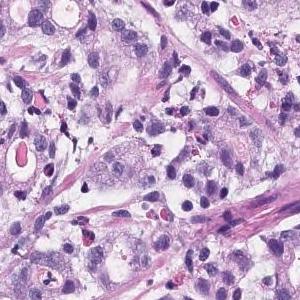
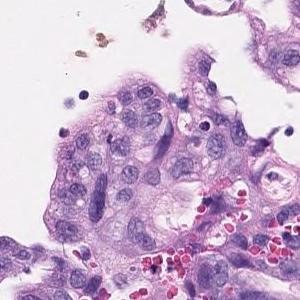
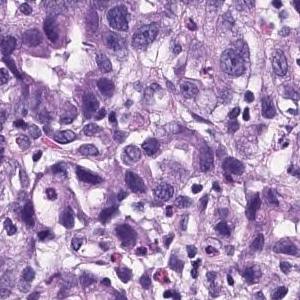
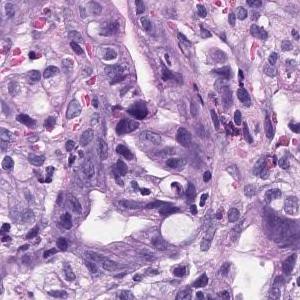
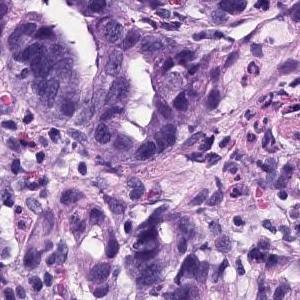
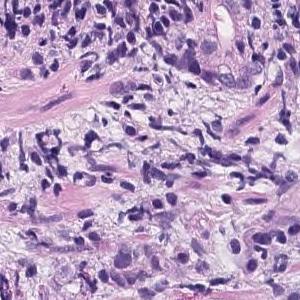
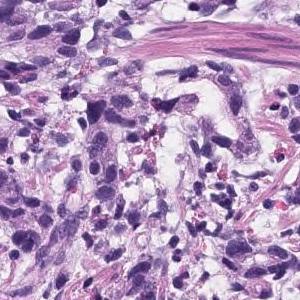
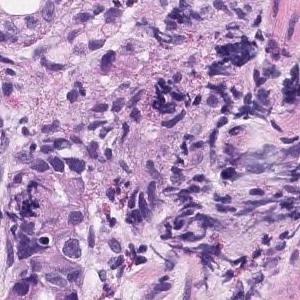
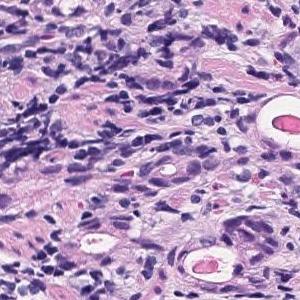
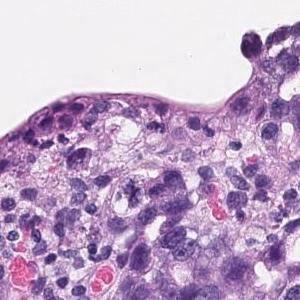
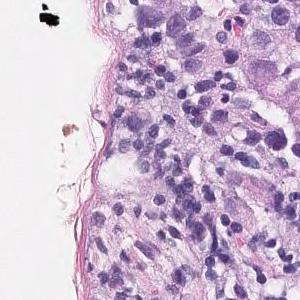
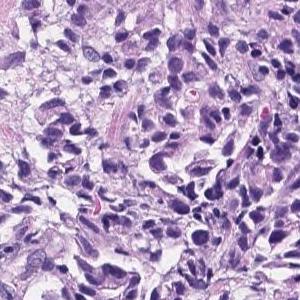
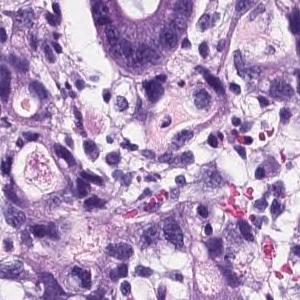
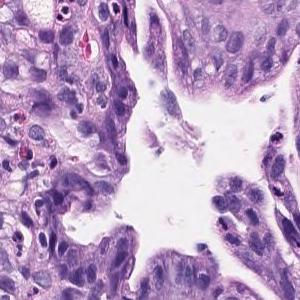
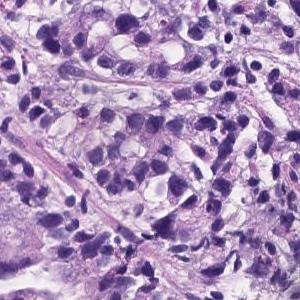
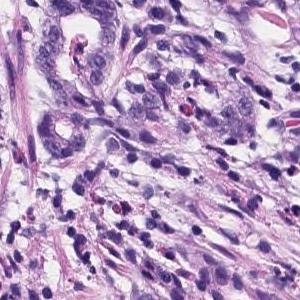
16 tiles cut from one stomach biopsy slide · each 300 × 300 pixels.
Report on the slide these tiles come from. The report describes the whole slide, diagnosis included: not every finding it names need appear in these tiles, which may also show non-tumor tissue.
There are atypical l cells with atypical nuclei forming cord-like or irregular atypical ducts from solidity and proliferating in a comprehensive manner. Poorly differentiated adenocarcinoma, Moderately differentiated adenocarcinoma (poorly differentiated adenocarcinoma, solid type moderately differentiated tubular adenocarcinoma)
Histologic type: Moderately to poorly differentiated adenocarcinoma.
The solid type named here is a Japanese Classification of Gastric Carcinoma category; WHO 2019 calls it tubular adenocarcinoma, poorly differentiated.
